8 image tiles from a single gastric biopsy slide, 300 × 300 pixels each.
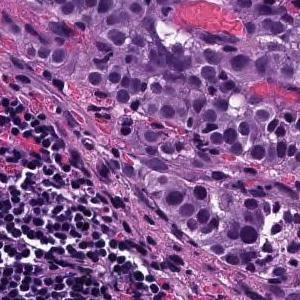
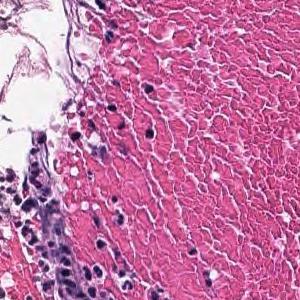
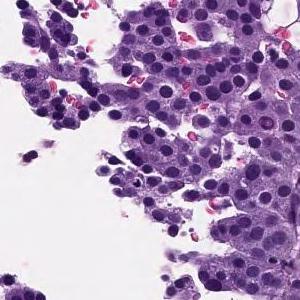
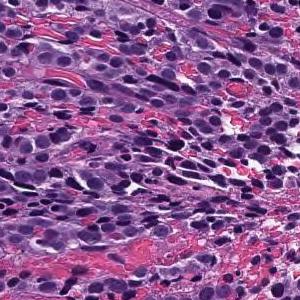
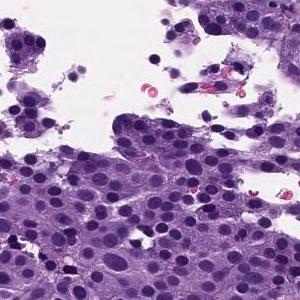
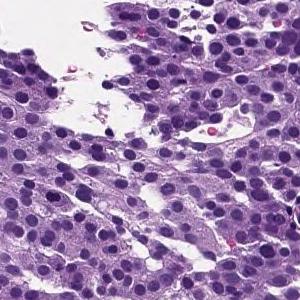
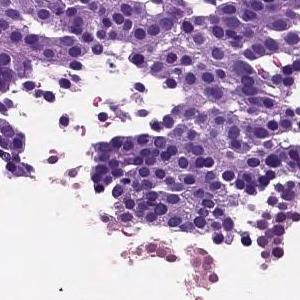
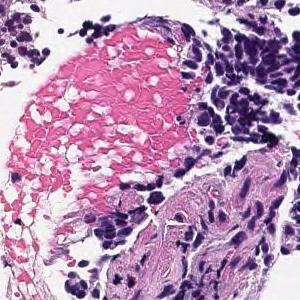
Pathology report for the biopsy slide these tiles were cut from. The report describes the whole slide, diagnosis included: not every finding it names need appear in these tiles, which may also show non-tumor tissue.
The superficial epithelium shows a large sheet-like shape, and some tumor tissue infiltrates with small irregular ducts. Poorly differentiated adenocarcinoma, solid-type
Histological subtype: Poorly differentiated adenocarcinoma, solid type, a category of the Japanese Classification of Gastric Carcinoma; in the WHO 2019 classification it is tubular adenocarcinoma, poorly differentiated.
